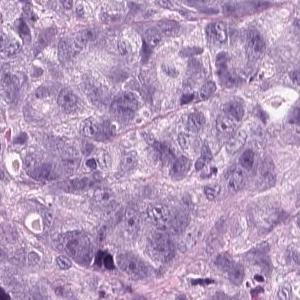
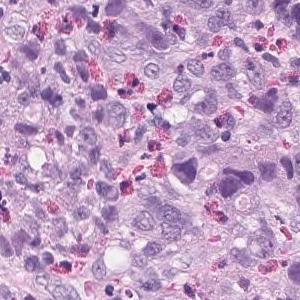
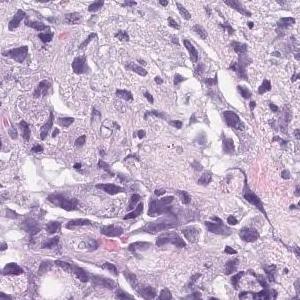
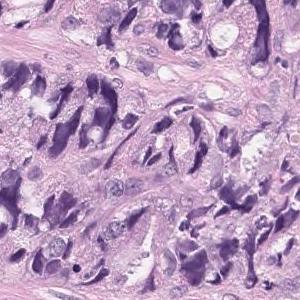
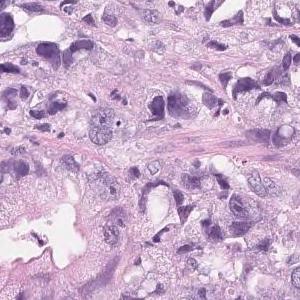
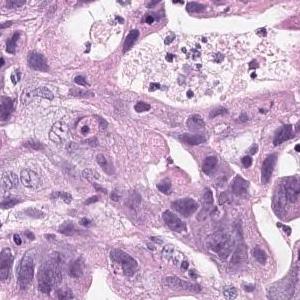
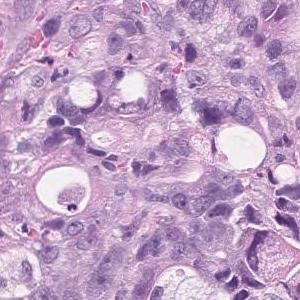
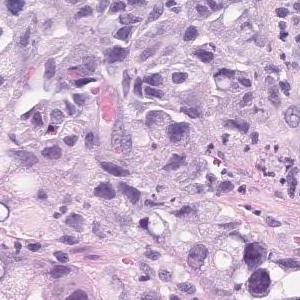
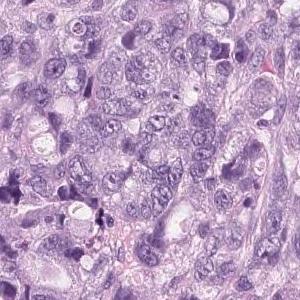
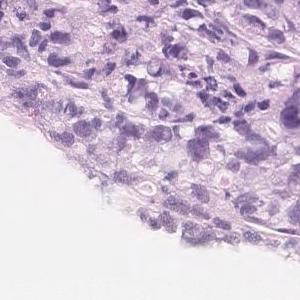
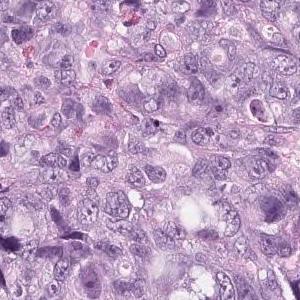
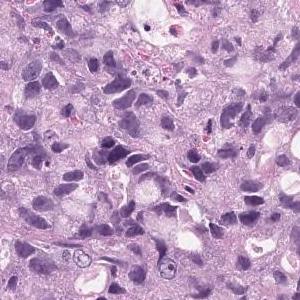
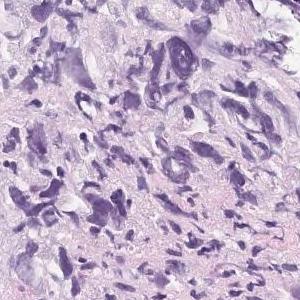
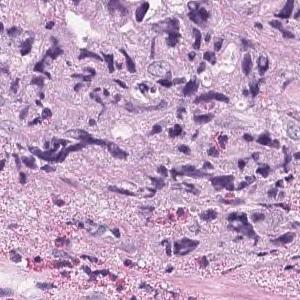
14 image tiles from a single gastric biopsy slide, 300×300 px each.
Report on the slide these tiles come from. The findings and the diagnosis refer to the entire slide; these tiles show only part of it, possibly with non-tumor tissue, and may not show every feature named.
Tumor tissue that infiltrates and proliferates by forming small glandular cavities in the superficial layer to the submucosa or forming a mass is observed. moderately differentiated tubular adenocarcinoma
